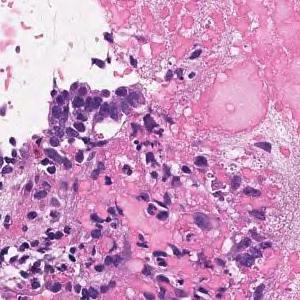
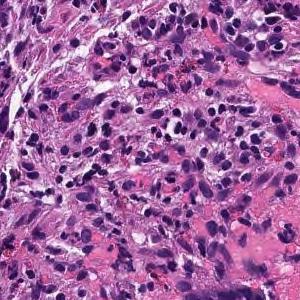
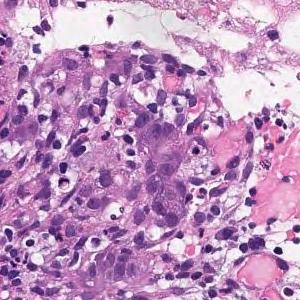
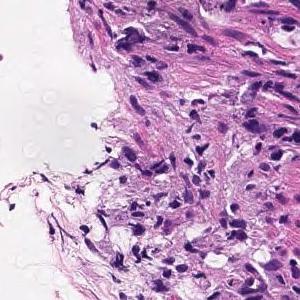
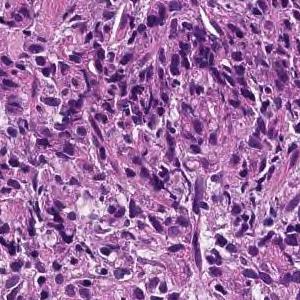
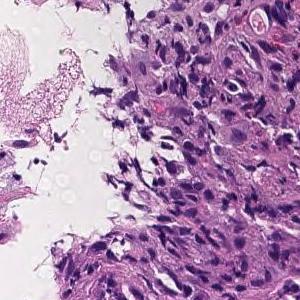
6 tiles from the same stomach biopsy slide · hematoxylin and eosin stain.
Diagnostic report for the slide these tiles come from. The findings and the diagnosis refer to the entire slide; these tiles show only part of it, possibly with non-tumor tissue, and may not show every feature named.
Tumor tissue consisting of cord-like or small, irregular glandular ducts fused and infiltrated is observed in the superficial epithelium. Poorly differentiated adenocarcinoma, non-solid type
The non-solid type named here is a Japanese Classification of Gastric Carcinoma category.
